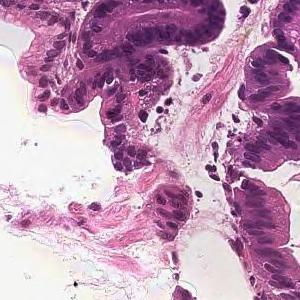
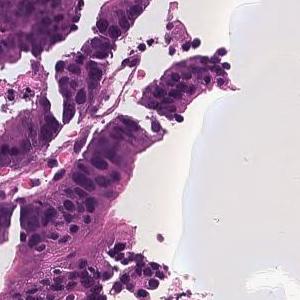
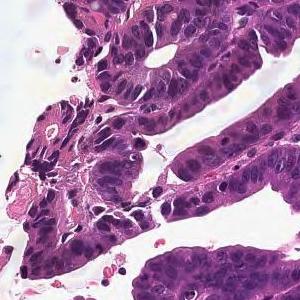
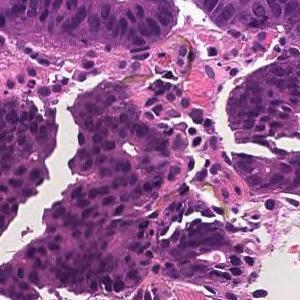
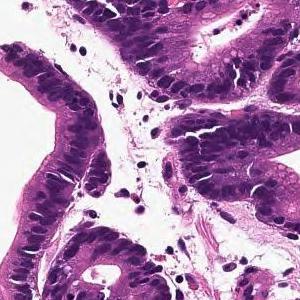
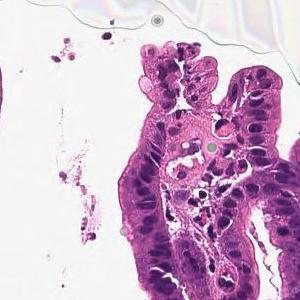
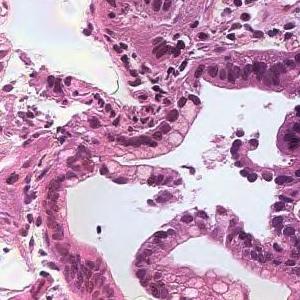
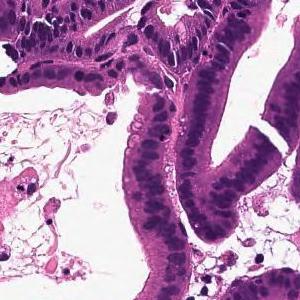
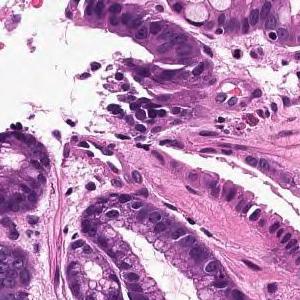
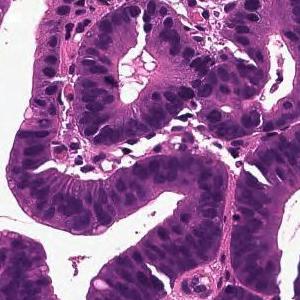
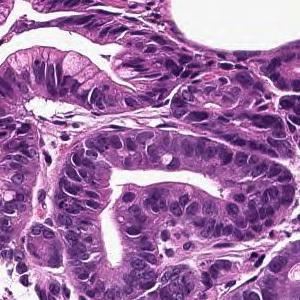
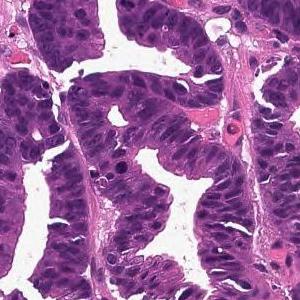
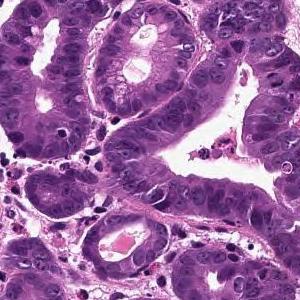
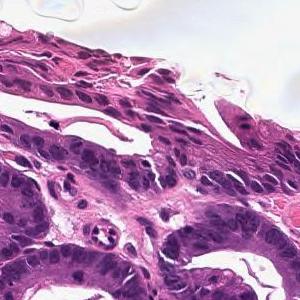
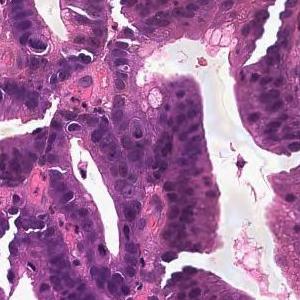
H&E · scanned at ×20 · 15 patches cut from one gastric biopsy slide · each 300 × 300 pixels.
Report on the slide these tiles come from. What the report and the diagnosis say applies to the whole slide; these tiles may miss some of the features named and may include tissue that is not tumor.
From the superficial epithelium to the muscularis mucosae, tumor tissue consisting of medium-sized and irregular glandular ducts infiltrating is observed. Well differentiated tubular adenocarcinoma
